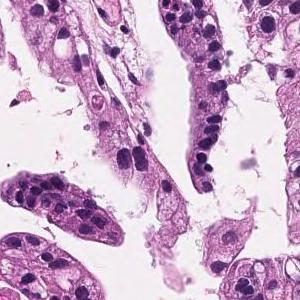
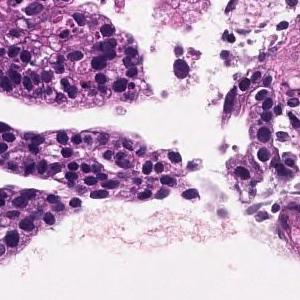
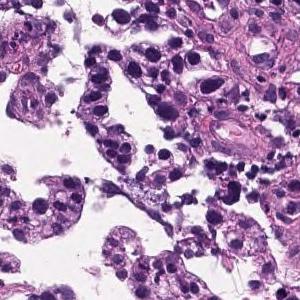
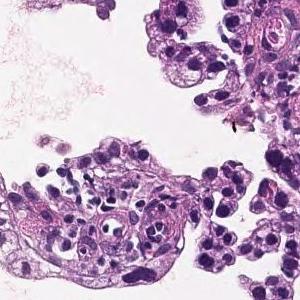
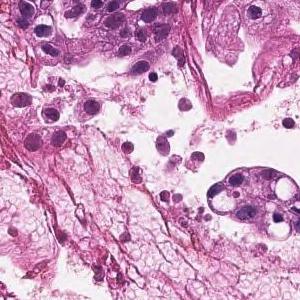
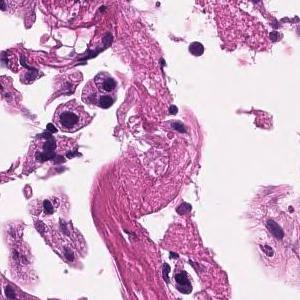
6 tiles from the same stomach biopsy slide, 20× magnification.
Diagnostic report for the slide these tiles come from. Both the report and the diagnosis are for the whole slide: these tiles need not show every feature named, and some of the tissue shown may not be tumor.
On the superficial epithelium, tumor tissue that infiltrates by forming medium-sized papillary or small irregular ducts is observed. Papillary adenocarcinoma
